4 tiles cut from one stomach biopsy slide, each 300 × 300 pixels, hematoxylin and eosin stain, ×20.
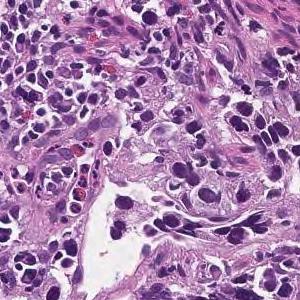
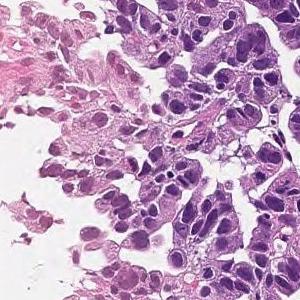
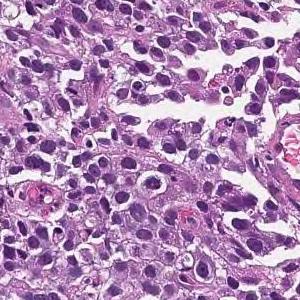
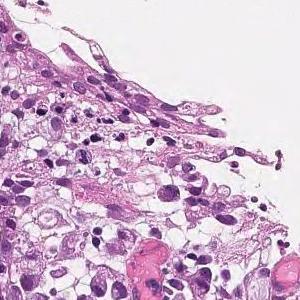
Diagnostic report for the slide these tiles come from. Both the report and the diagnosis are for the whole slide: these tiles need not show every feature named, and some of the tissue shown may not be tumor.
The superficial epithelium shows a large sheet-like shape, and some tumor tissue infiltrates with small irregular ducts. Poorly differentiated adenocarcinoma, solid-type
Classified as poorly differentiated adenocarcinoma, solid type, a category of the Japanese Classification of Gastric Carcinoma; in the WHO 2019 classification it is tubular adenocarcinoma, poorly differentiated.
